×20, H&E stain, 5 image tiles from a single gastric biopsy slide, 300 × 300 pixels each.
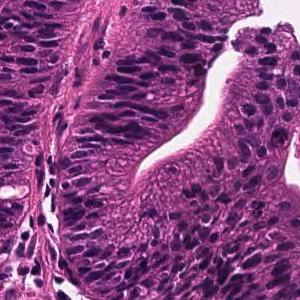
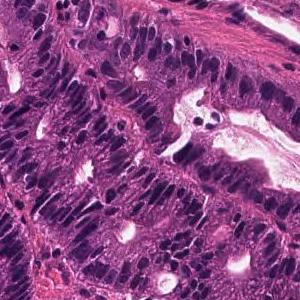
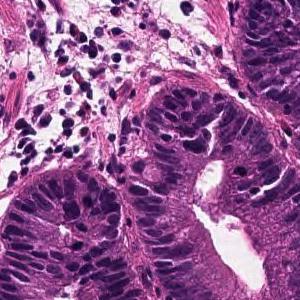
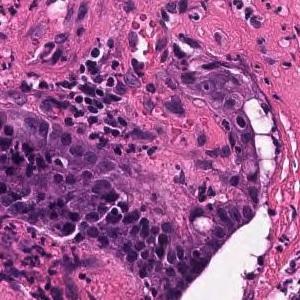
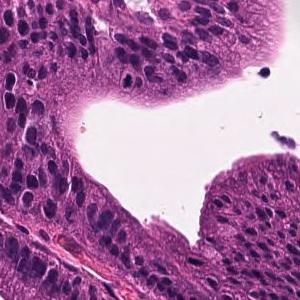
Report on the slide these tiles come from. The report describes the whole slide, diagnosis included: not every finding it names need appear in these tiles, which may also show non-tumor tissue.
Tumor tissue that remains within the superficial epithelium and is infiltrated by large papillary or irregular ducts that fuse with each other is observed. Well differentiated tubular adenocarcinoma
